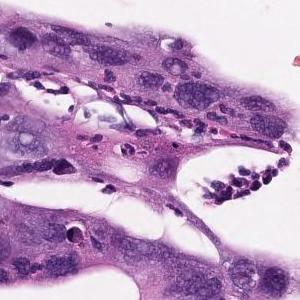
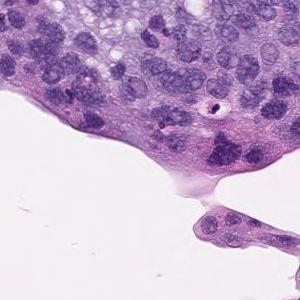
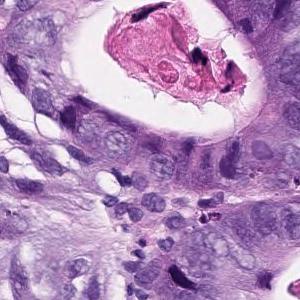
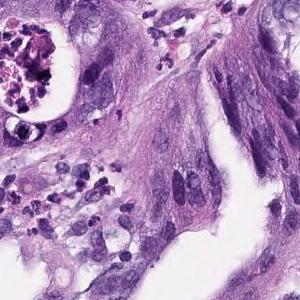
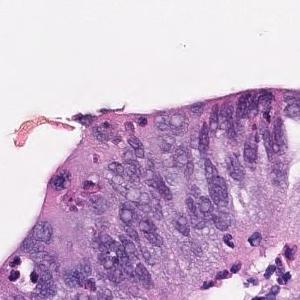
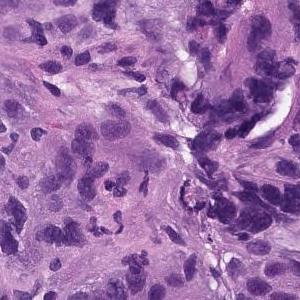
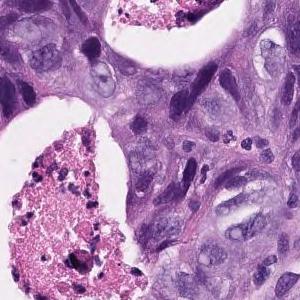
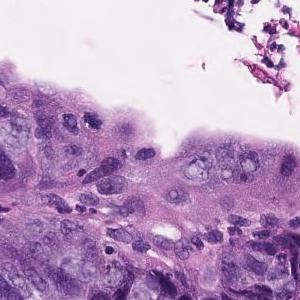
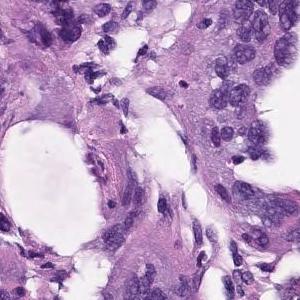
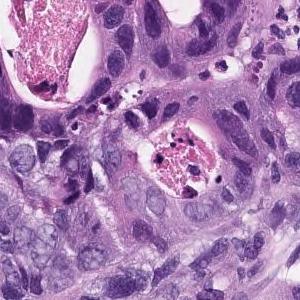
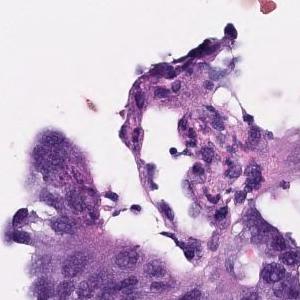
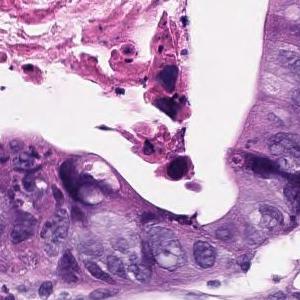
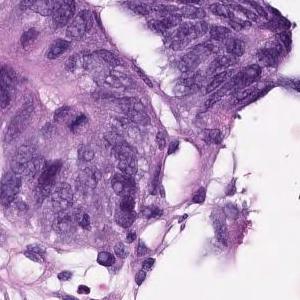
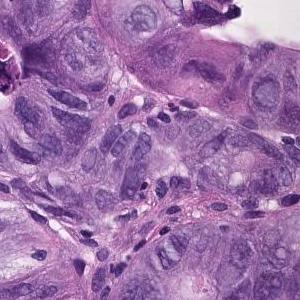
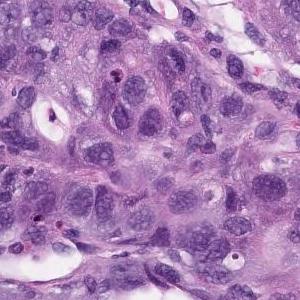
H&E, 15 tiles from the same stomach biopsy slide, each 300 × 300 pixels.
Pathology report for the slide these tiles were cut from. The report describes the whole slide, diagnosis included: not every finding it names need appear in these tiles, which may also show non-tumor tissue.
In the superficial epithelium, tumor tissue that invades by forming medium-sized to small, irregular ducts is observed. Moderately differentiated adenocarcinoma.
Histologic type: Moderately differentiated tubular adenocarcinoma.
